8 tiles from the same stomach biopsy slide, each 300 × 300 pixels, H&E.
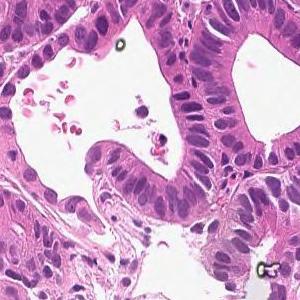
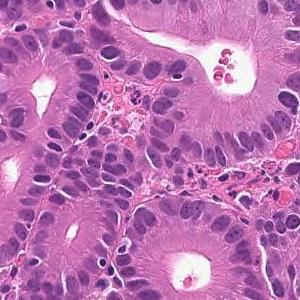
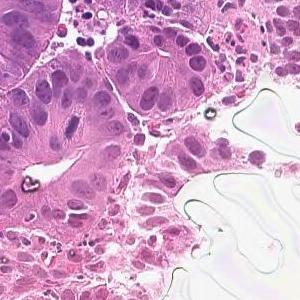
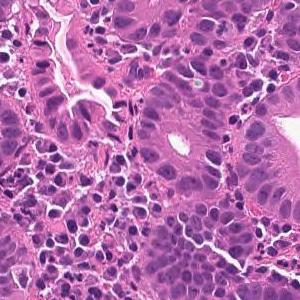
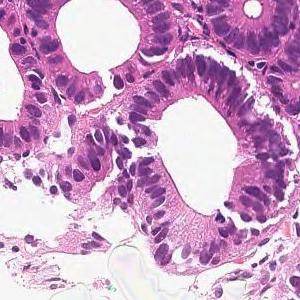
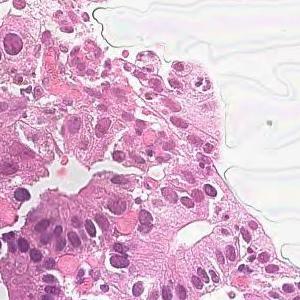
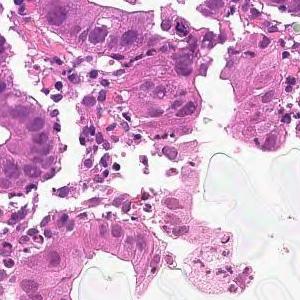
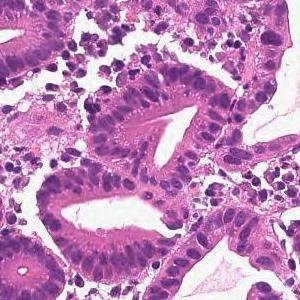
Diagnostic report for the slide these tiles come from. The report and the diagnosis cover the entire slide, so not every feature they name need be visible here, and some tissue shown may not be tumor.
From the superficial epithelium to the muscularis mucosae, tumor tissue consisting of medium-sized and irregular glandular ducts infiltrating is observed. Well differentiated tubular adenocarcinoma
